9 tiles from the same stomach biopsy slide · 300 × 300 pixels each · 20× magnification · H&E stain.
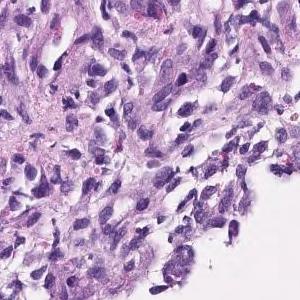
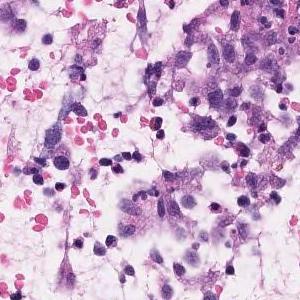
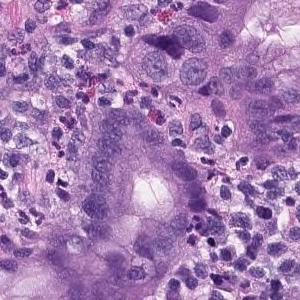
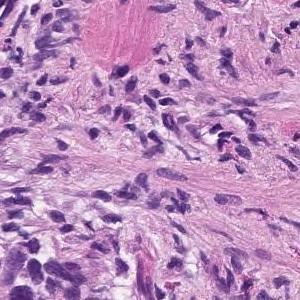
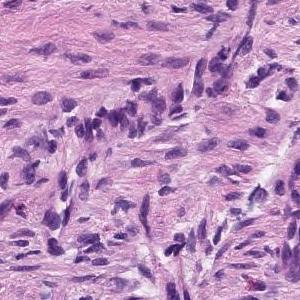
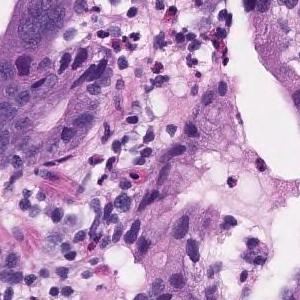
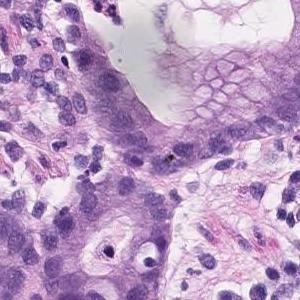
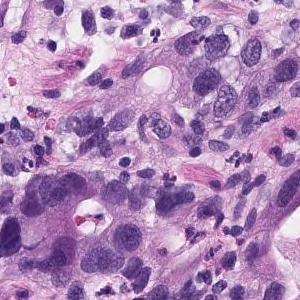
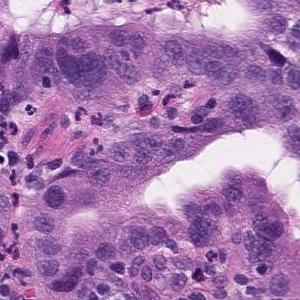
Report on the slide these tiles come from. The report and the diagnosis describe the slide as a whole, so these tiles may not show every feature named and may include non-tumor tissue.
Group 5, Adenocarcinoma. Moderately to poorly differentiated adenocarcinoma
